12 image tiles from a single gastric biopsy slide · 300 × 300 pixels each · H&E stain · ×20.
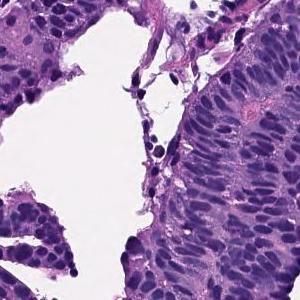
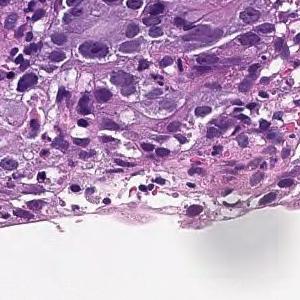
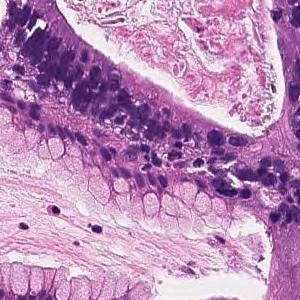
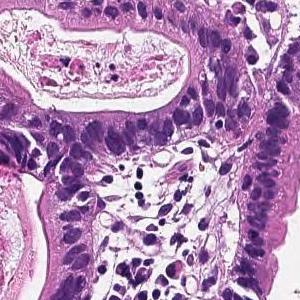
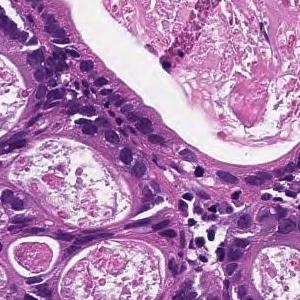
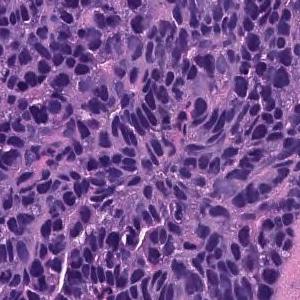
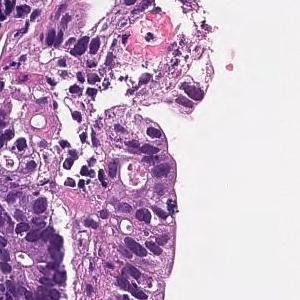
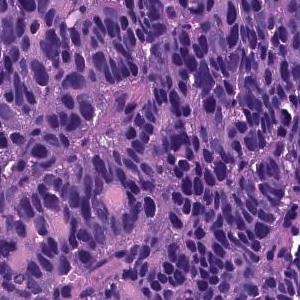
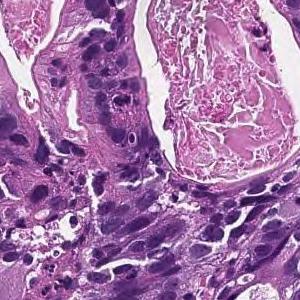
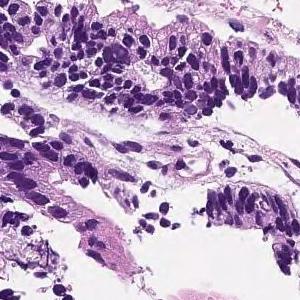
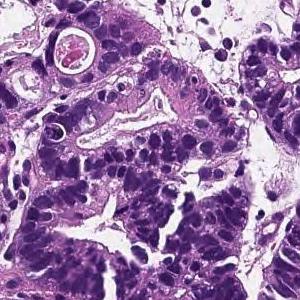
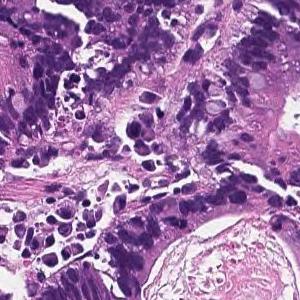
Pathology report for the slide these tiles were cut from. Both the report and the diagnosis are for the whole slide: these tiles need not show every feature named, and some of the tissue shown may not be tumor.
In the superficial epithelium, tumor tissue that invades by forming medium-sized to small, irregular ducts is observed. moderately differentiated tubular adenocarcinoma.
